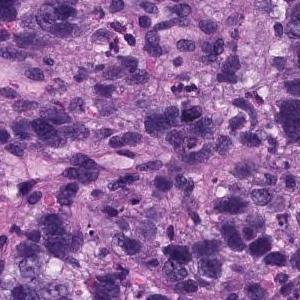
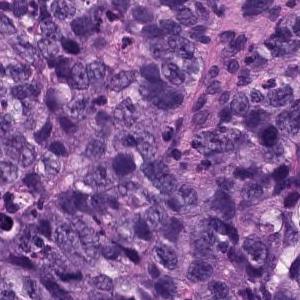
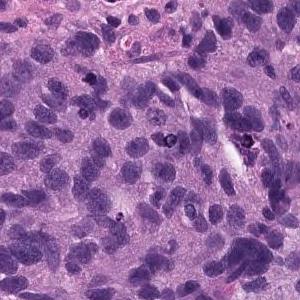
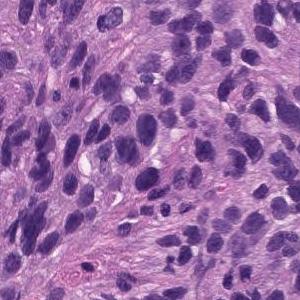
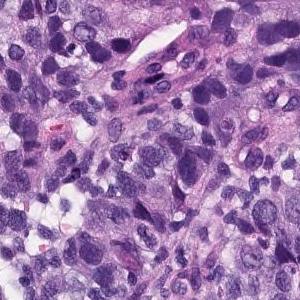
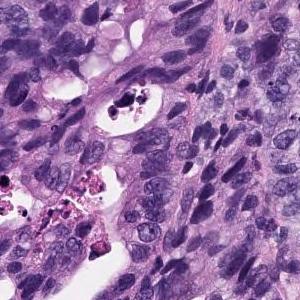
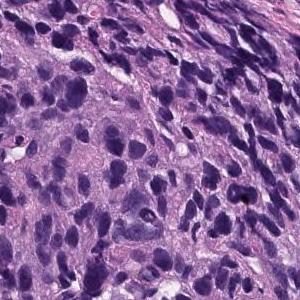
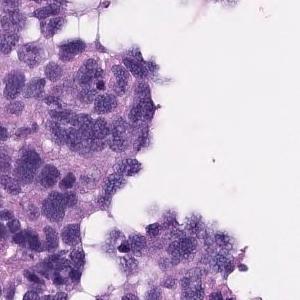
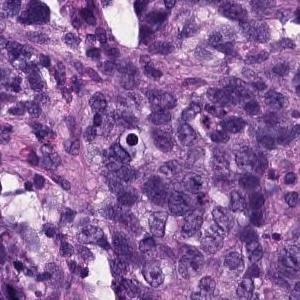
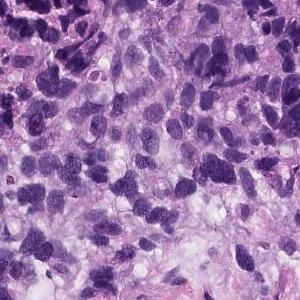
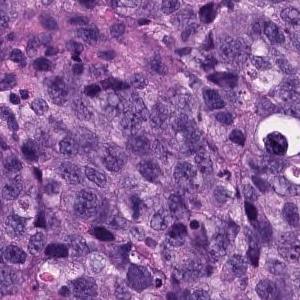
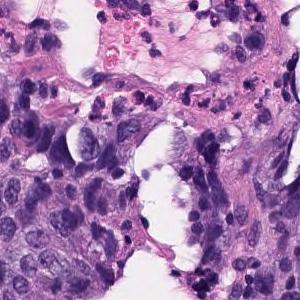
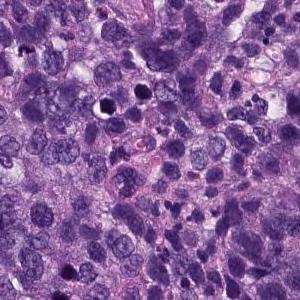
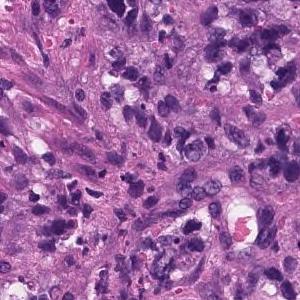
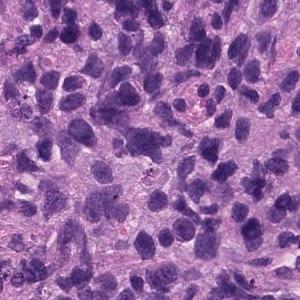
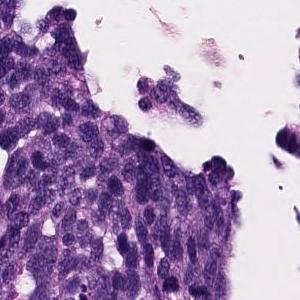
H&E, scanned at ×20, 16 patches cut from one gastric biopsy slide.
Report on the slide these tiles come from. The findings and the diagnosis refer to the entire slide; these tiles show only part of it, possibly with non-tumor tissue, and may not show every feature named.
Atypical l cells with atypical nuclei under the mucosa growing in isolation and scattered. Poorly differentiated adenocarcinoma (poorly differentiated adenocarcinoma, non-solid type)
Subtype: Poorly differentiated adenocarcinoma, non-solid type.
The non-solid type named here is a Japanese Classification of Gastric Carcinoma category.
